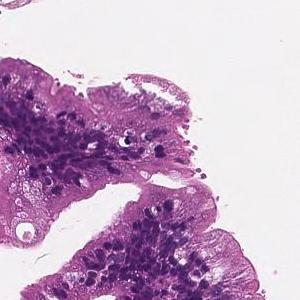
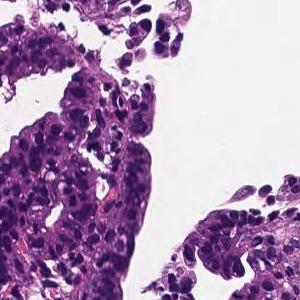
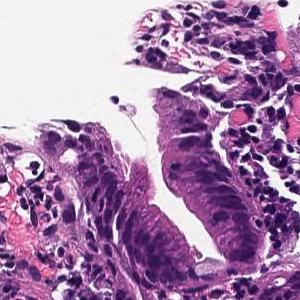
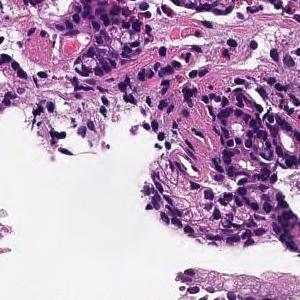
4 tiles from the same stomach biopsy slide, 300 × 300 pixels each, H&E.
The pathologist's report on the biopsy slide these tiles were taken from. The report describes the whole slide, diagnosis included: not every finding it names need appear in these tiles, which may also show non-tumor tissue.
Cells with elliptical or atypical nuclei form dense ducts with relatively clear growth. Well differentiated tubular adenocarcinoma
